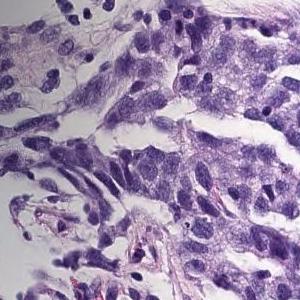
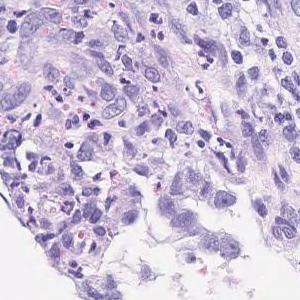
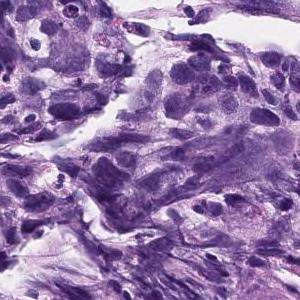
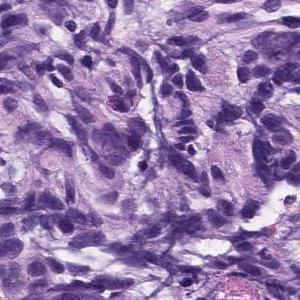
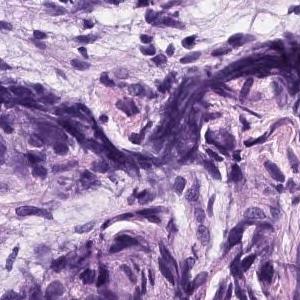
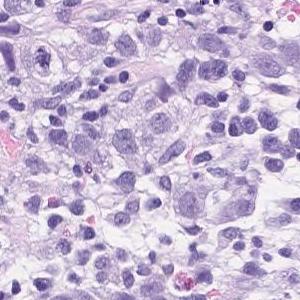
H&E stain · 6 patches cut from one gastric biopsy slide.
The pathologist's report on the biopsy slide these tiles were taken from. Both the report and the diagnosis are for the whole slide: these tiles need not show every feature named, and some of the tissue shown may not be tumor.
Atypical epithelial cells with an increased N/C ratio proliferate and consist of a part that shows the formation of gland ducts and a part that shows solid growth. Poorly differentiated adenocarcinoma, solid-type
Histological subtype: Poorly differentiated adenocarcinoma, solid type (Japanese Classification of Gastric Carcinoma). The WHO 2019 equivalent is tubular adenocarcinoma, poorly differentiated.
